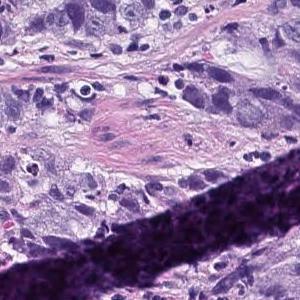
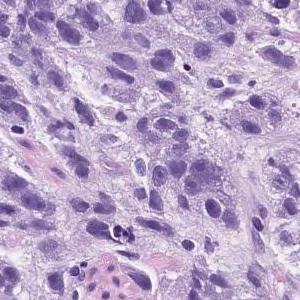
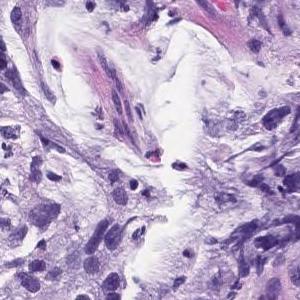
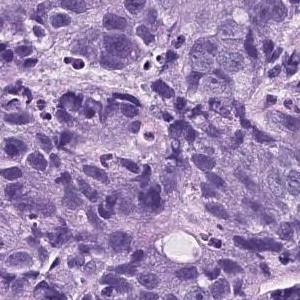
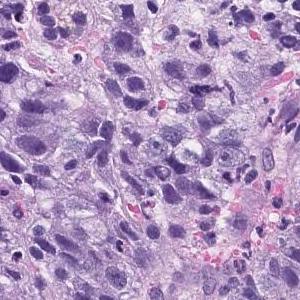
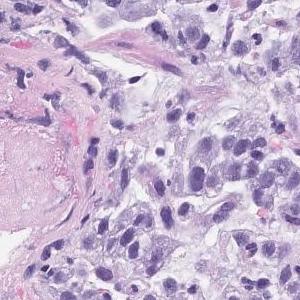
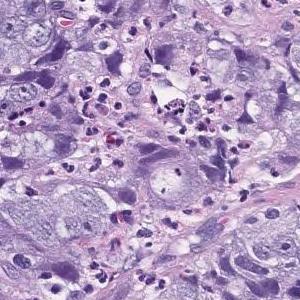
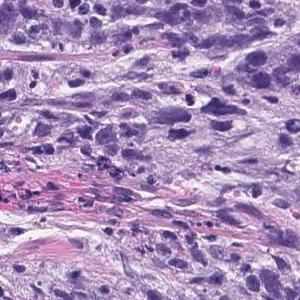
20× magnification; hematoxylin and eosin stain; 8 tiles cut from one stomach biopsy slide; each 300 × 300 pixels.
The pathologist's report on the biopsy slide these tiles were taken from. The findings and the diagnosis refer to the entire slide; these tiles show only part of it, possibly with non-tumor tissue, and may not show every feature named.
Atypical l cells with atypical nuclei forming solid vesicles or small irregular atypical ducts that proliferate in a complex manner. poorly differentiated adenocarcinoma, solid type, moderately differentiated tubular adenocarcinoma
The term "solid type" comes from the Japanese Classification of Gastric Carcinoma; the WHO 2019 equivalent is tubular adenocarcinoma, poorly differentiated.
